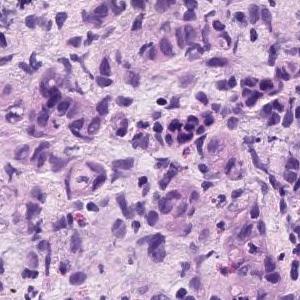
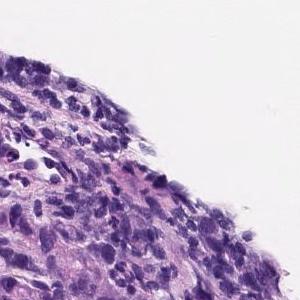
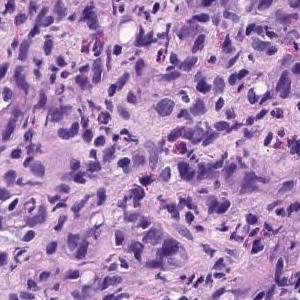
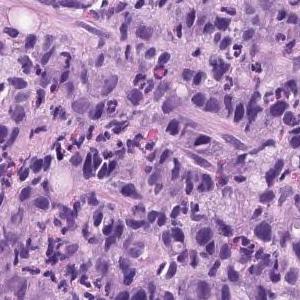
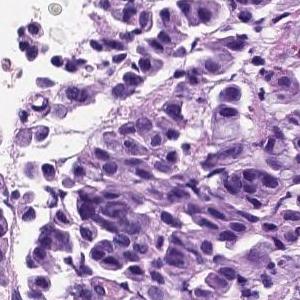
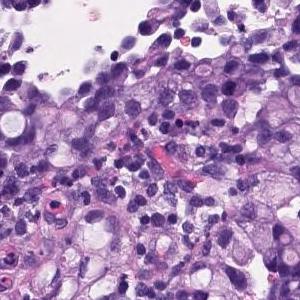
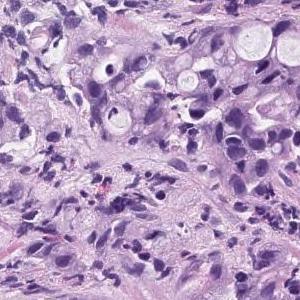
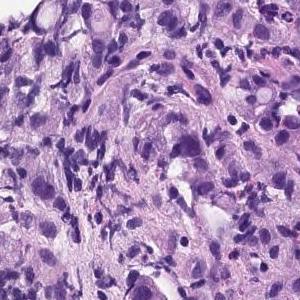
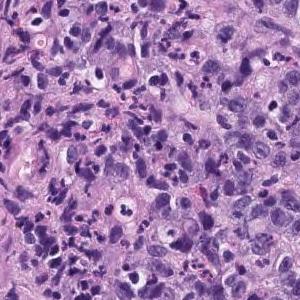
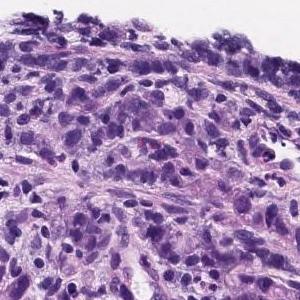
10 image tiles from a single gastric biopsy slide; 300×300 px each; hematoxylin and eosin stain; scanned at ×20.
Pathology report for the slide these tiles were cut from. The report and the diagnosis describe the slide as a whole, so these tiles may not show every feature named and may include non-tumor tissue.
Diffusely growing signet-ring cells are found in the lamina propria. Signet ring cell carcinoma.
